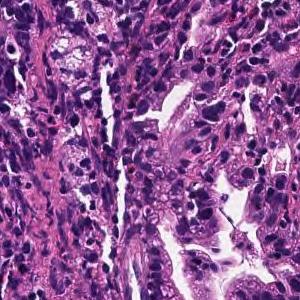
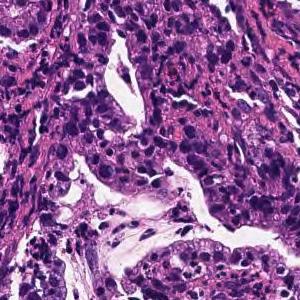
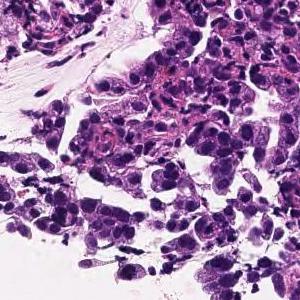
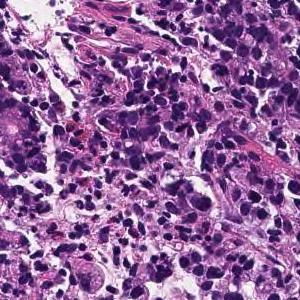
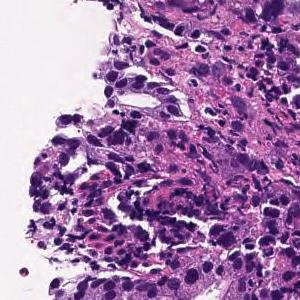
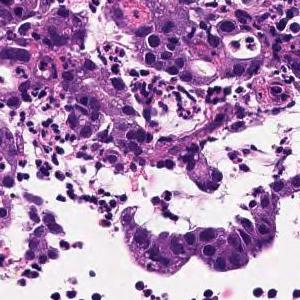
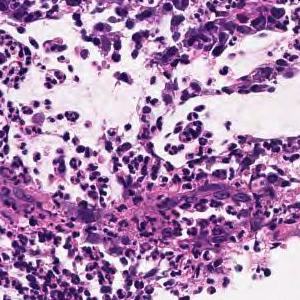
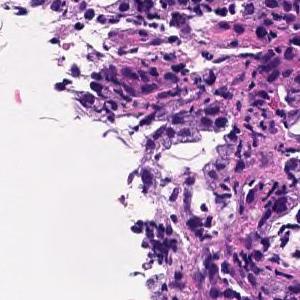
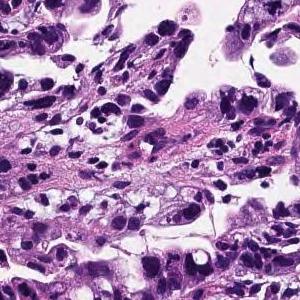
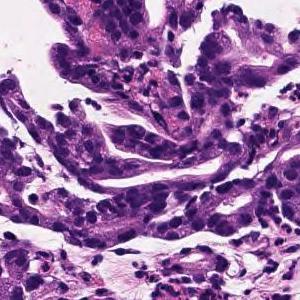
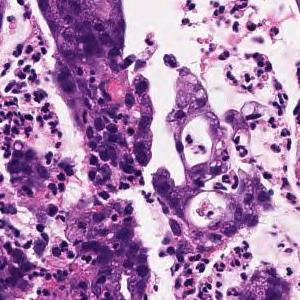
20× magnification; H&E; 11 image tiles from a single gastric biopsy slide; 300 × 300 pixels each.
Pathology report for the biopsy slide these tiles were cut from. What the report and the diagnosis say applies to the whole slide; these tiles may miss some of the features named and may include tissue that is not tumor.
On the superficial epithelium, tumor tissue consisting of large, irregular glandular ducts partially fused and infiltrated is observed. Well to moderately differentiated tubular adenocarcinoma (well differentiated tubular adenocarcinoma, moderately differentiated tubular adenocarcinoma)
Histological subtype: Well to moderately differentiated tubular adenocarcinoma.
